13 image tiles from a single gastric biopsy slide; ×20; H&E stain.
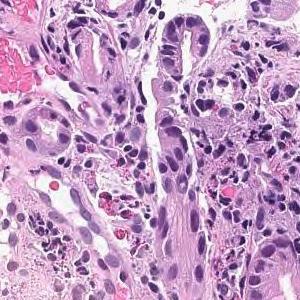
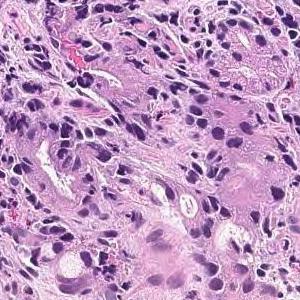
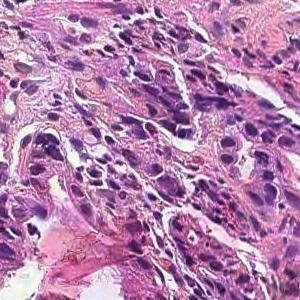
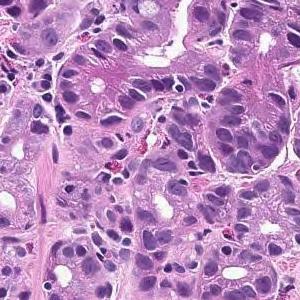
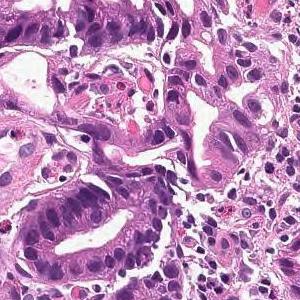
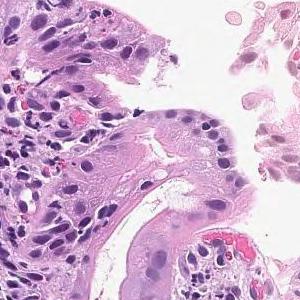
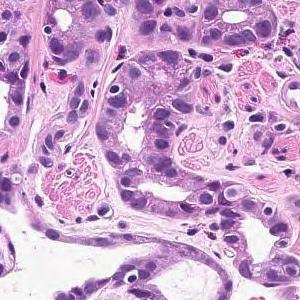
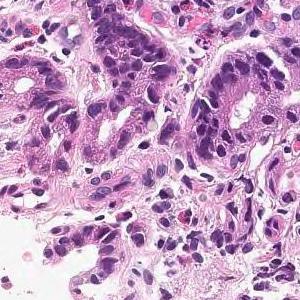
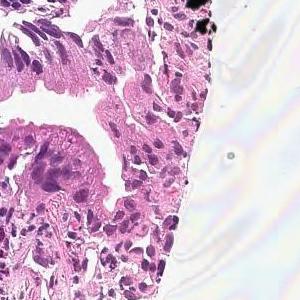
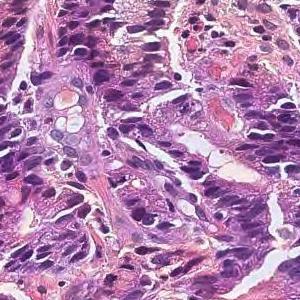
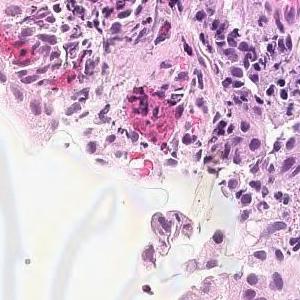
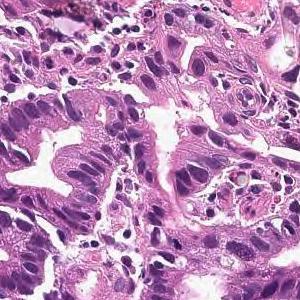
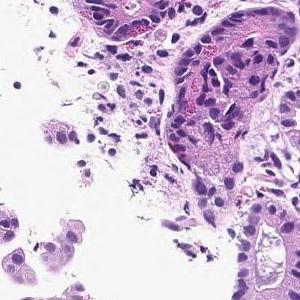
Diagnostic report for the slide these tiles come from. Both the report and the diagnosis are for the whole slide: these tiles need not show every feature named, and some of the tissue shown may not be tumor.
In the superficial epithelium, tumor tissue that invades by forming medium-sized to small, irregular ducts is observed. moderately differentiated tubular adenocarcinoma.
